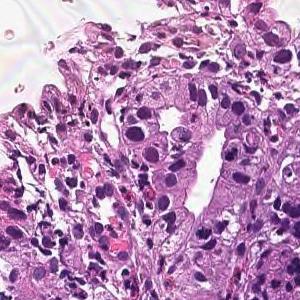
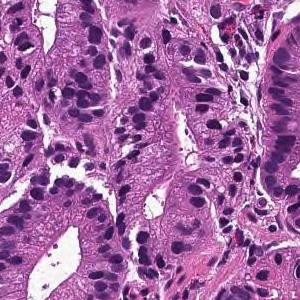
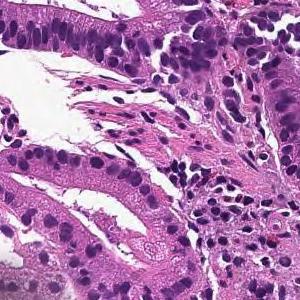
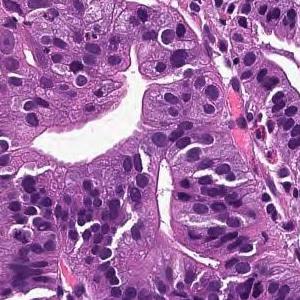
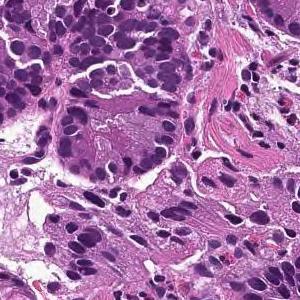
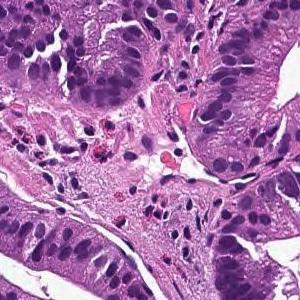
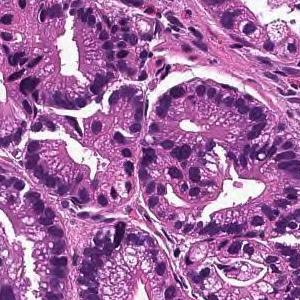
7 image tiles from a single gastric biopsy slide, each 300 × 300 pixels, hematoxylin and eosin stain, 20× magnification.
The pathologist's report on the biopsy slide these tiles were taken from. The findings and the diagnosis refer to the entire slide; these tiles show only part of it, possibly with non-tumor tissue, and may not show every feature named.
Tumor cells are large, highly columnar, large club-shaped nuclei, and are associated with chromatin aggregation. Papillary adenocarcinoma.
